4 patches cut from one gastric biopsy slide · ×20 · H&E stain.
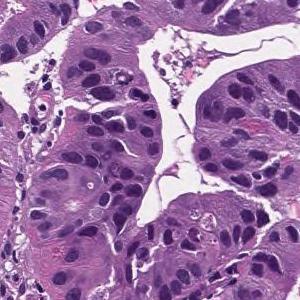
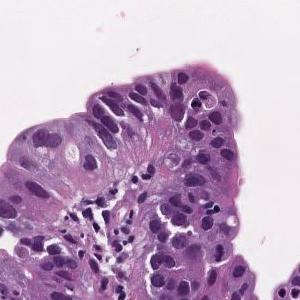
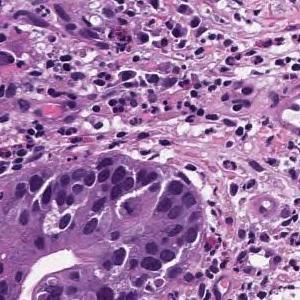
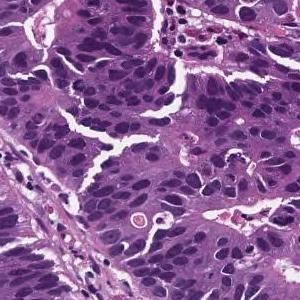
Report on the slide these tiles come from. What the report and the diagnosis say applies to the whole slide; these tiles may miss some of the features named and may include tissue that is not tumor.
Tumor cells are large, highly columnar, large club-shaped nuclei, and are associated with chromatin aggregation. Papillary adenocarcinoma.
